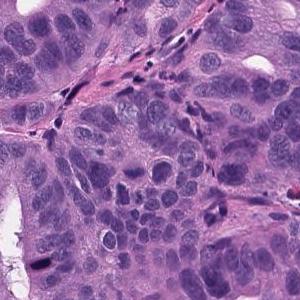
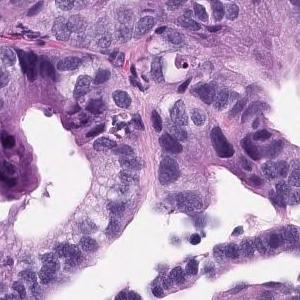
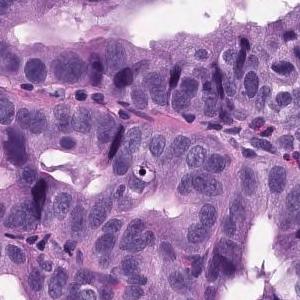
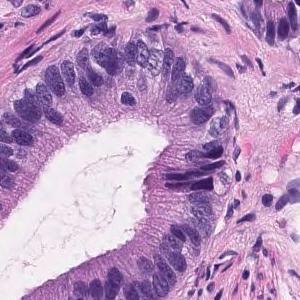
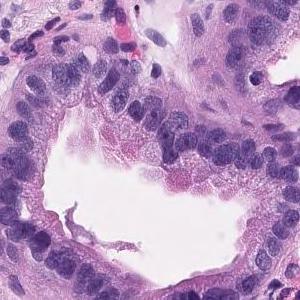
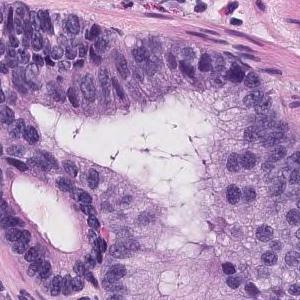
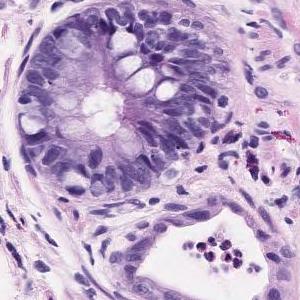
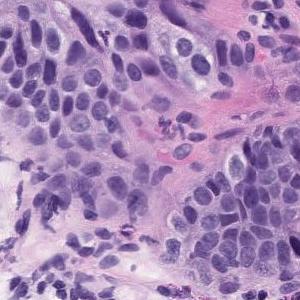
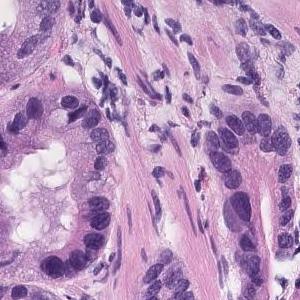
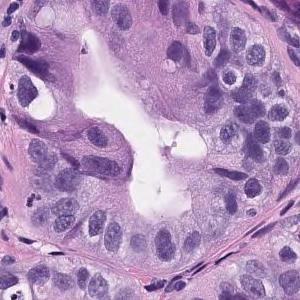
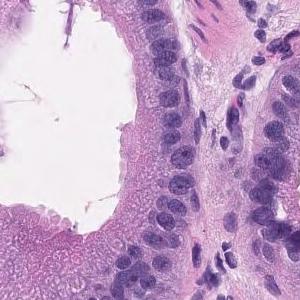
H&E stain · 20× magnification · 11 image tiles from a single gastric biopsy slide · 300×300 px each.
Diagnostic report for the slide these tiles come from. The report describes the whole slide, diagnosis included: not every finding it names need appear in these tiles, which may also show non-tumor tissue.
Tumor tissue consisting of medium-sized and irregular ducts is observed infiltrating in the superficial epithelium. Tumor cells are highly columnar, with nuclei aligned basolaterally and polarized. Well differentiated tubular adenocarcinoma.
